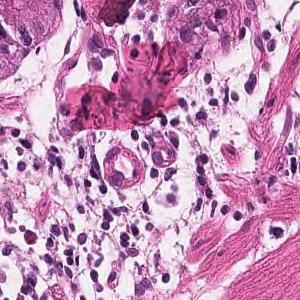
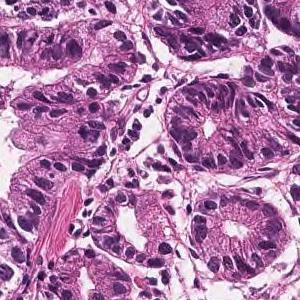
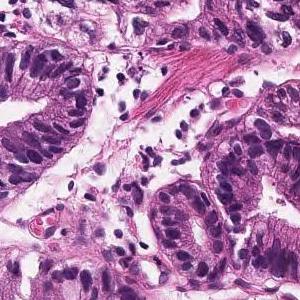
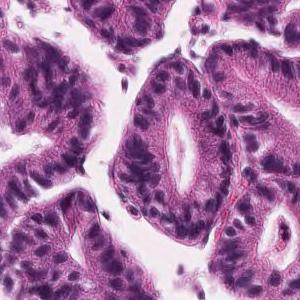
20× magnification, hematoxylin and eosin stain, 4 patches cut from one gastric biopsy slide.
Diagnostic report for the slide these tiles come from. The report and the diagnosis cover the entire slide, so not every feature they name need be visible here, and some tissue shown may not be tumor.
On the superficial epithelium, tumor tissue that infiltrates by forming medium-sized papillary or small irregular ducts is observed. Papillary adenocarcinoma
